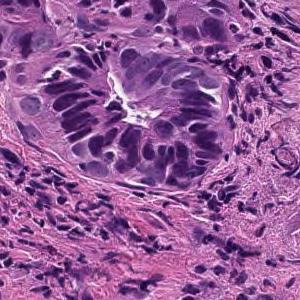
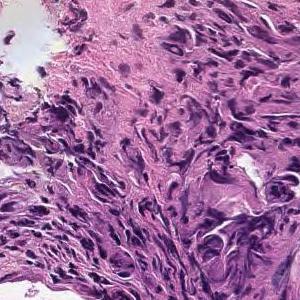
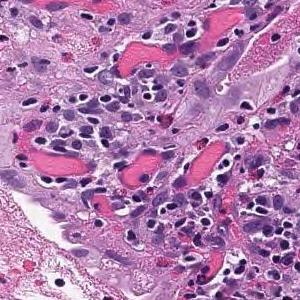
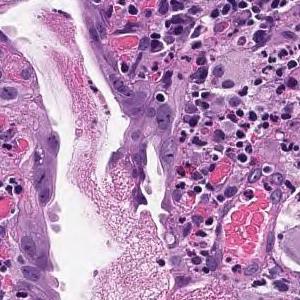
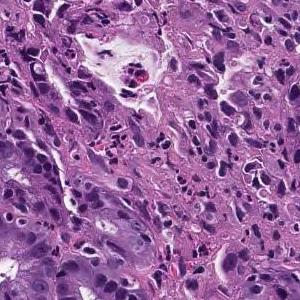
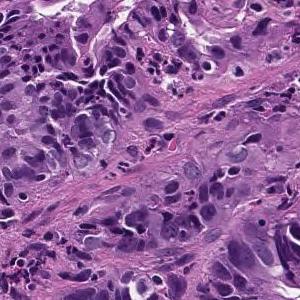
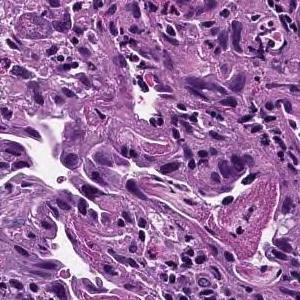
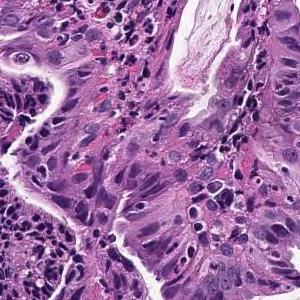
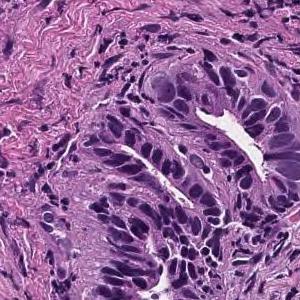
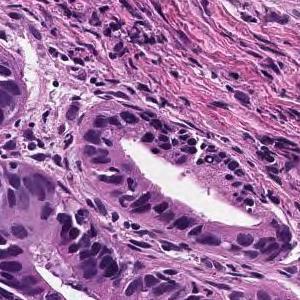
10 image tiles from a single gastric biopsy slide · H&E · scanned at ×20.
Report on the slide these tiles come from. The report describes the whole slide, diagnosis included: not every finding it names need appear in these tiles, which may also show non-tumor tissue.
On the superficial epithelium, tumor tissue consisting of large, irregular glandular ducts partially fused and infiltrated is observed. Well to moderately differentiated tubular adenocarcinoma (well differentiated tubular adenocarcinoma, moderately differentiated tubular adenocarcinoma)
Tumor subtype: well to moderately differentiated tubular adenocarcinoma.
